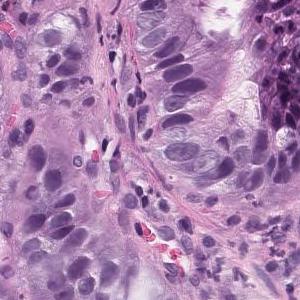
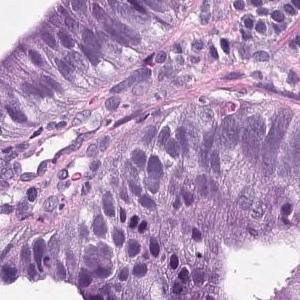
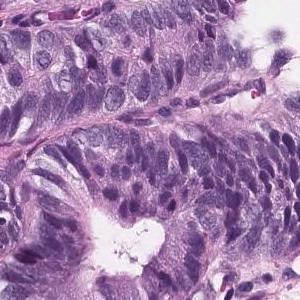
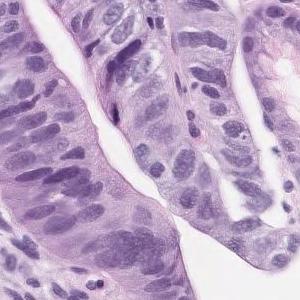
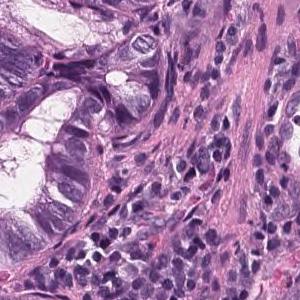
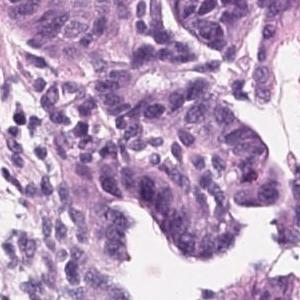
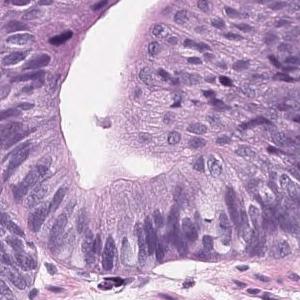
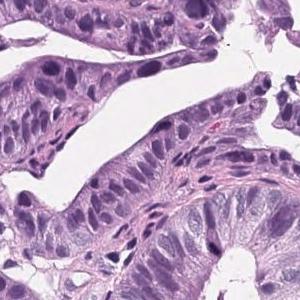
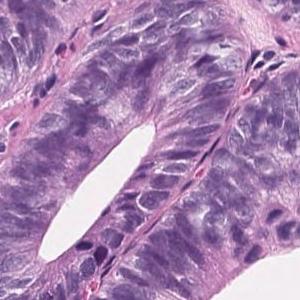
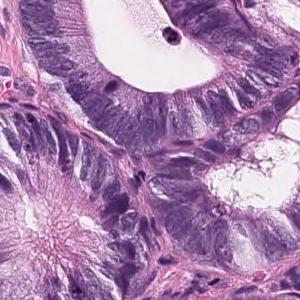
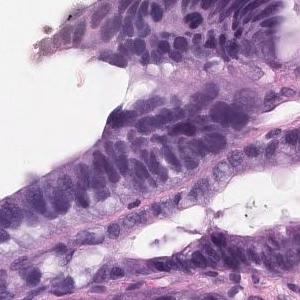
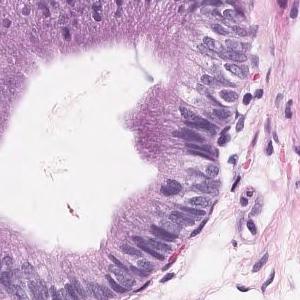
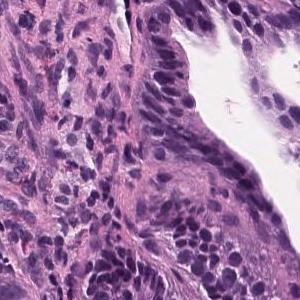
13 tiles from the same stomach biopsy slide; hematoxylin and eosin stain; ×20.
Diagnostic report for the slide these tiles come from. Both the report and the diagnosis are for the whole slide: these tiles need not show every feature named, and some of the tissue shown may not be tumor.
Tumor tissue consisting of medium-sized and irregular ducts is observed infiltrating in the superficial epithelium. Tumor cells are highly columnar, with nuclei aligned basolaterally and polarized. Well differentiated tubular adenocarcinoma.
